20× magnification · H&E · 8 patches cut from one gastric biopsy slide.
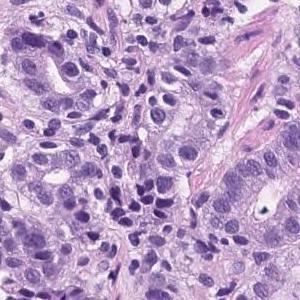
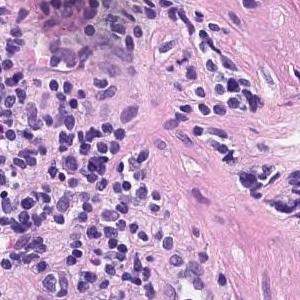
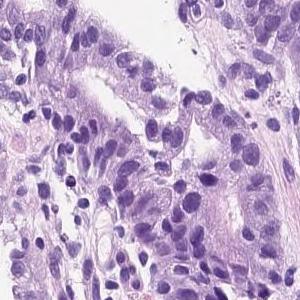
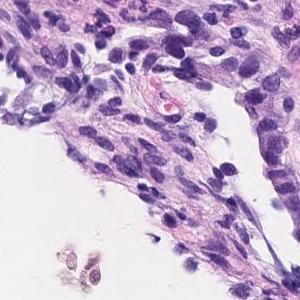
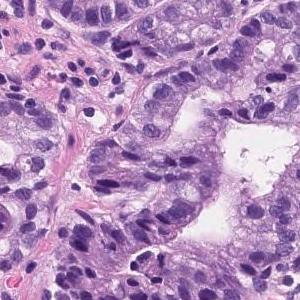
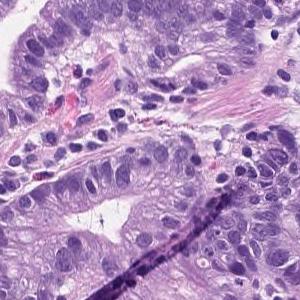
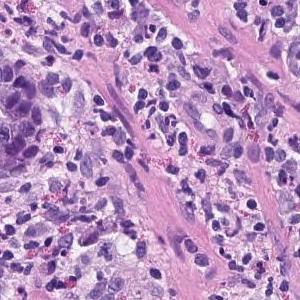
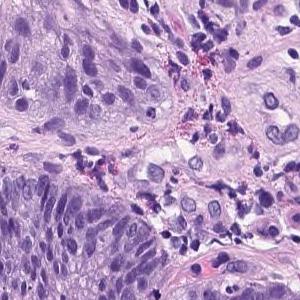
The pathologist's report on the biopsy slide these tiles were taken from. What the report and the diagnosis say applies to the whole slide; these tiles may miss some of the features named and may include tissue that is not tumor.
Tumor tissue consisting of medium-sized and irregular ducts is observed infiltrating in the superficial epithelium. Tumor cells are highly columnar, with nuclei aligned basolaterally and polarized. Well differentiated tubular adenocarcinoma.
